5 tiles from the same stomach biopsy slide · 300 × 300 pixels each · scanned at ×20.
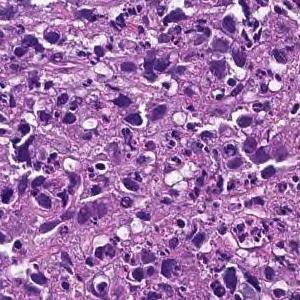
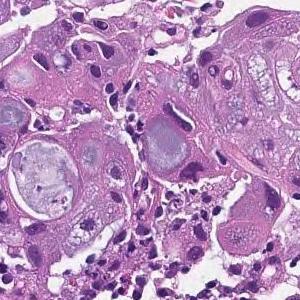
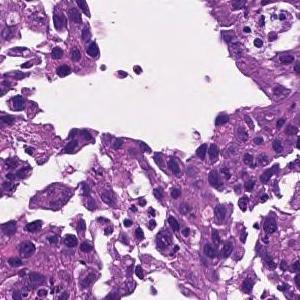
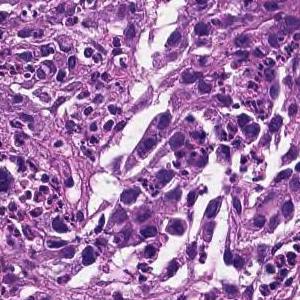
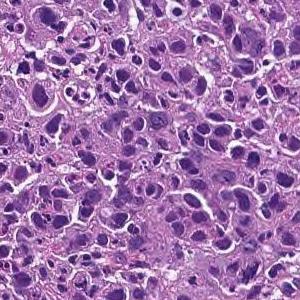
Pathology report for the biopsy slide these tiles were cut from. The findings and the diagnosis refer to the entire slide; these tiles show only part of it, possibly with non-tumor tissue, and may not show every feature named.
The superficial epithelium shows a large sheet-like shape, and some tumor tissue infiltrates with small irregular ducts. Poorly differentiated adenocarcinoma, solid-type
Histological subtype: Poorly differentiated adenocarcinoma, solid type. This name comes from the Japanese Classification of Gastric Carcinoma; the WHO 2019 classification calls it tubular adenocarcinoma, poorly differentiated.
